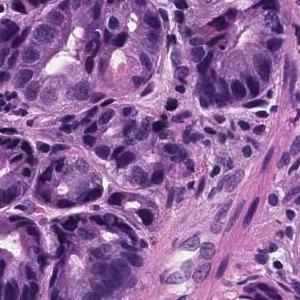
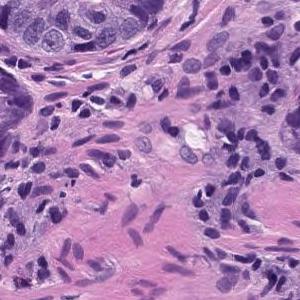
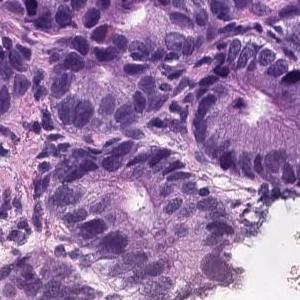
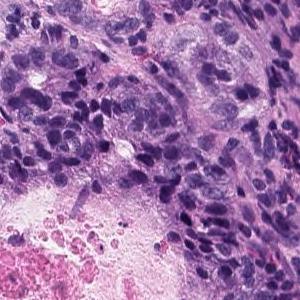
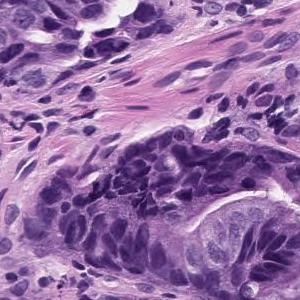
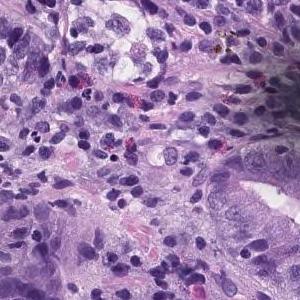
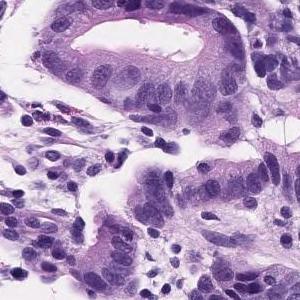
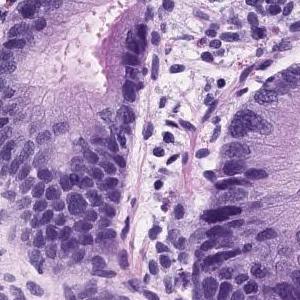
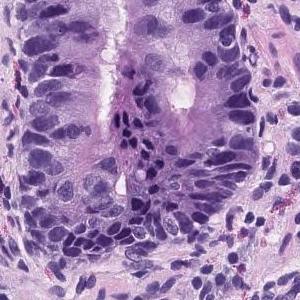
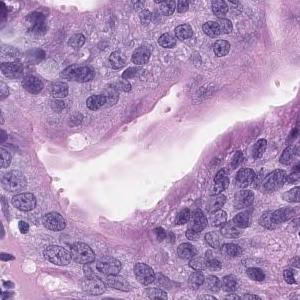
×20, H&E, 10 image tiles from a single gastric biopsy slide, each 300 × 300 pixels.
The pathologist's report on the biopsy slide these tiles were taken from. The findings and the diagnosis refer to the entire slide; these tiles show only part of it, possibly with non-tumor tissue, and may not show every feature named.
Tumor tissue consisting of medium-sized and irregular ducts is observed infiltrating in the superficial epithelium. Tumor cells are highly columnar, with nuclei aligned basolaterally and polarized. Well differentiated tubular adenocarcinoma.
